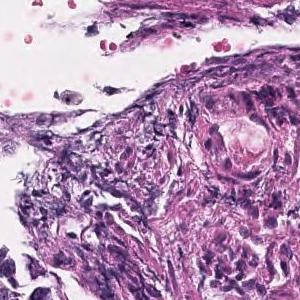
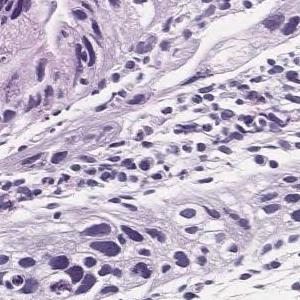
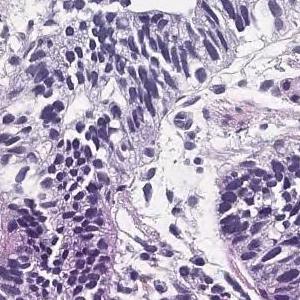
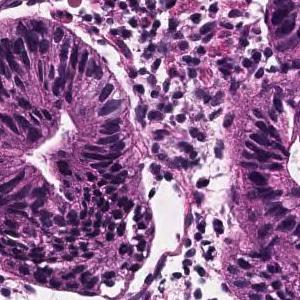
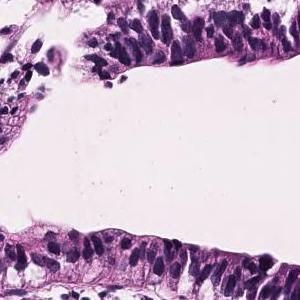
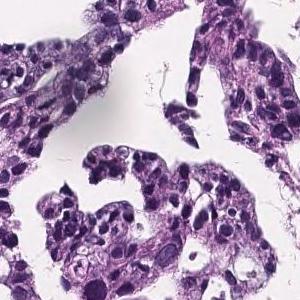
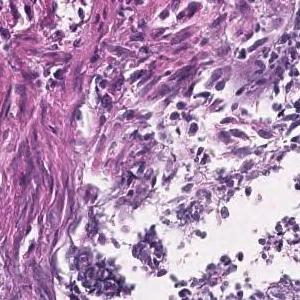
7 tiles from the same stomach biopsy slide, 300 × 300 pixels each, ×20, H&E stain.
Pathology report for the slide these tiles were cut from. The report describes the whole slide, diagnosis included: not every finding it names need appear in these tiles, which may also show non-tumor tissue.
Tumor cells are large, highly columnar, large club-shaped nuclei, and are associated with chromatin aggregation. Papillary adenocarcinoma.
